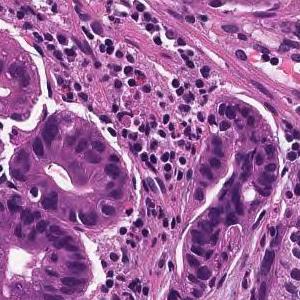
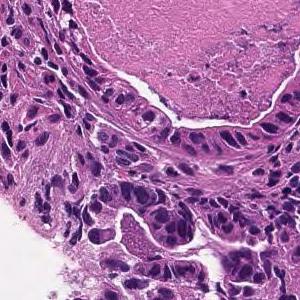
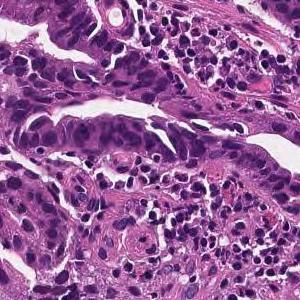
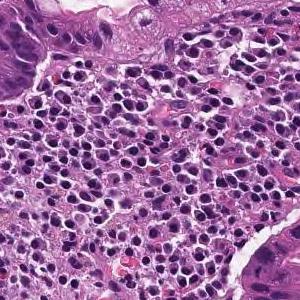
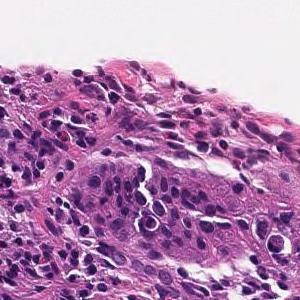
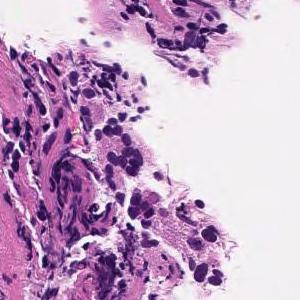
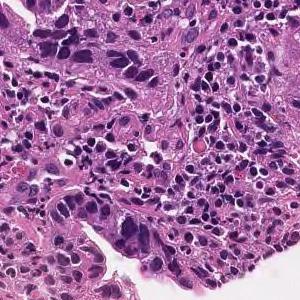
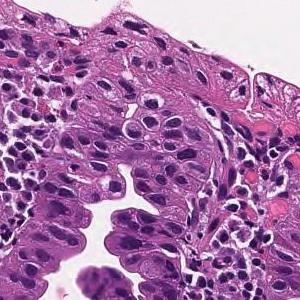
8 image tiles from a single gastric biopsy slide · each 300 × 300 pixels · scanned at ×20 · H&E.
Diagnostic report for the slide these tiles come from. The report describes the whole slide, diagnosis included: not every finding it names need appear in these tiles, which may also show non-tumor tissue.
From the superficial epithelium to the muscularis mucosae, tumor tissue consisting of medium-sized and irregular glandular ducts infiltrating is observed. Well differentiated tubular adenocarcinoma
